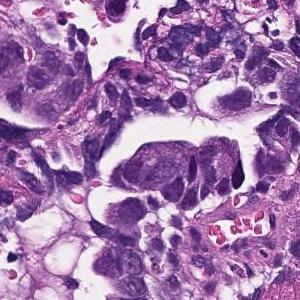
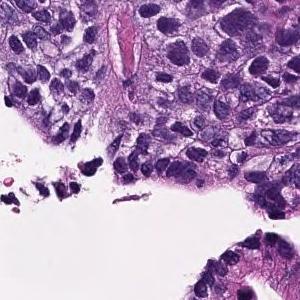
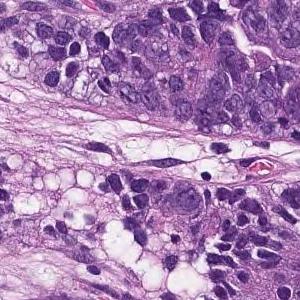
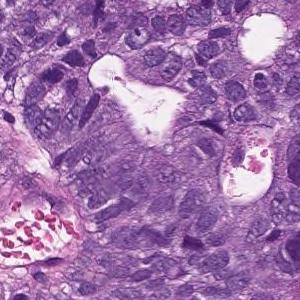
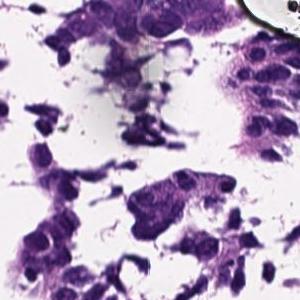
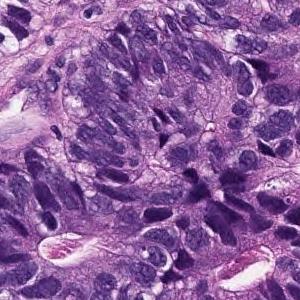
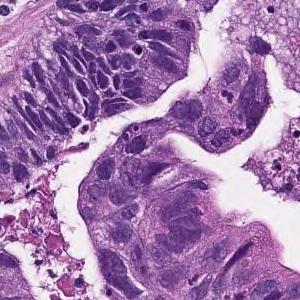
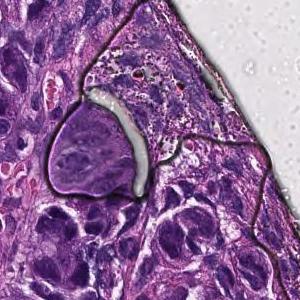
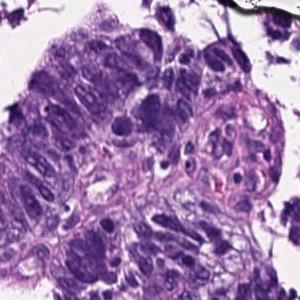
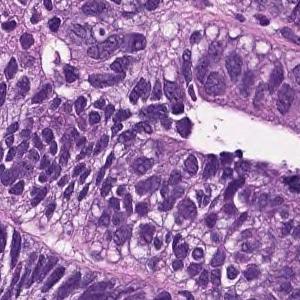
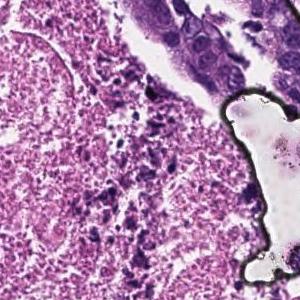
Scanned at ×20 · H&E · 11 tiles from the same stomach biopsy slide · 300 × 300 pixels each.
Report on the slide these tiles come from. The report describes the whole slide, diagnosis included: not every finding it names need appear in these tiles, which may also show non-tumor tissue.
In the superficial epithelium, tumor tissue that invades by forming medium-sized to small, irregular ducts is observed. moderately differentiated tubular adenocarcinoma.
